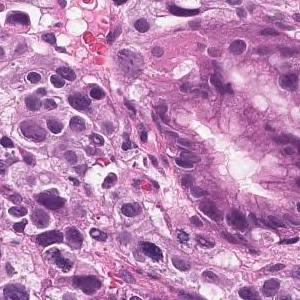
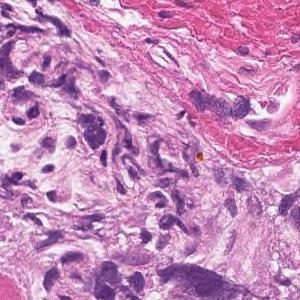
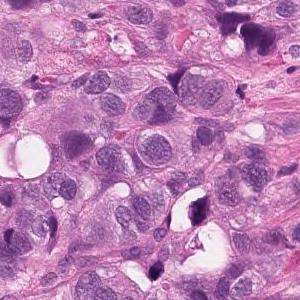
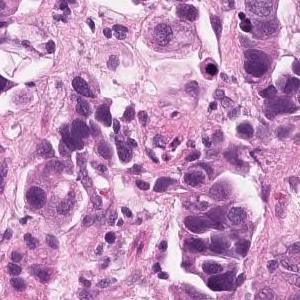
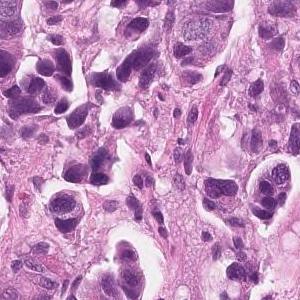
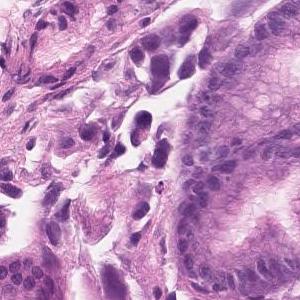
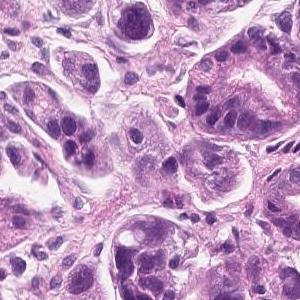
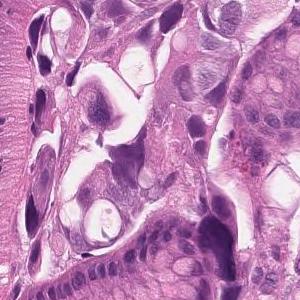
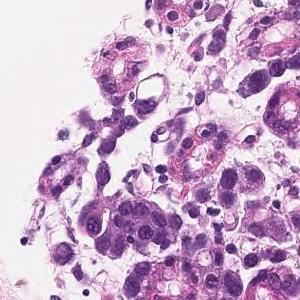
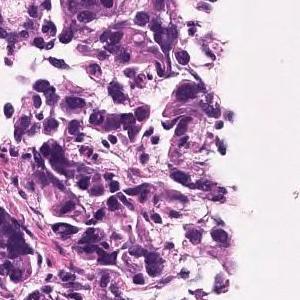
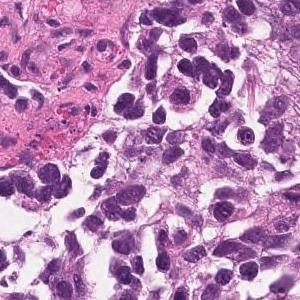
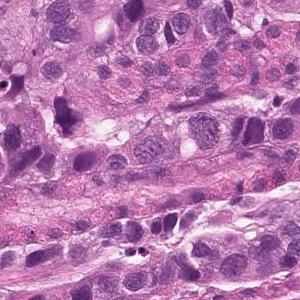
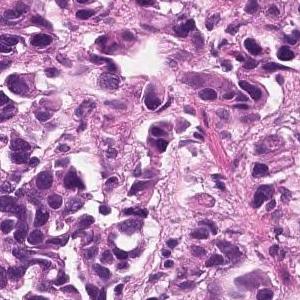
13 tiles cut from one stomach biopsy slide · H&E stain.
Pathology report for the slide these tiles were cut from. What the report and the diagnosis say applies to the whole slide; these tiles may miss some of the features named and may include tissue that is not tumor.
Tumor tissue that infiltrates the epithelium in an alveolar manner. Poorly differentiated adenocarcinoma, solid-type
Tumor subtype: poorly differentiated adenocarcinoma, solid type. This name comes from the Japanese Classification of Gastric Carcinoma; the WHO 2019 classification calls it tubular adenocarcinoma, poorly differentiated.
